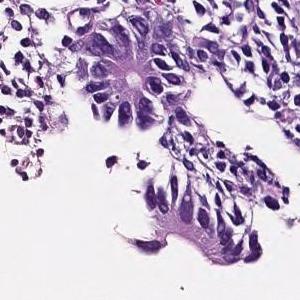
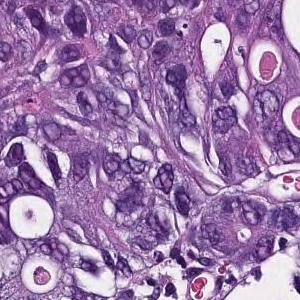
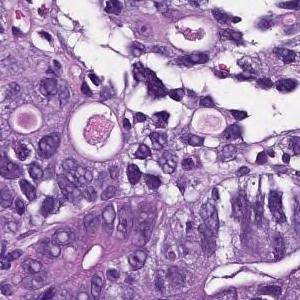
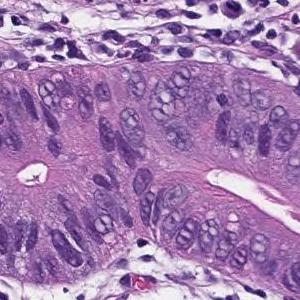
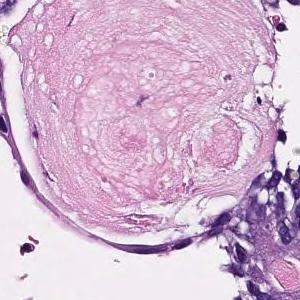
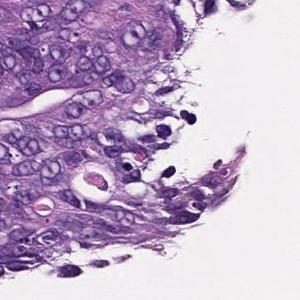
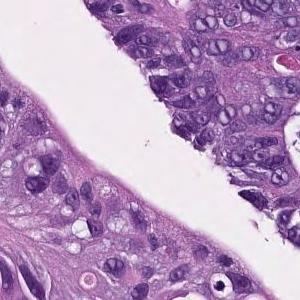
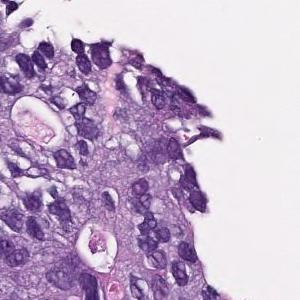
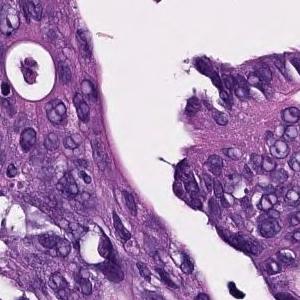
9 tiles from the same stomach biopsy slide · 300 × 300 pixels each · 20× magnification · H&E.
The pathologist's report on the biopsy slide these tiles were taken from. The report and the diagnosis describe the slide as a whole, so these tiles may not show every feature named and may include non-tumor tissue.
In the superficial epithelium, tumor tissue that invades by forming medium-sized to small, irregular ducts is observed. moderately differentiated tubular adenocarcinoma.
